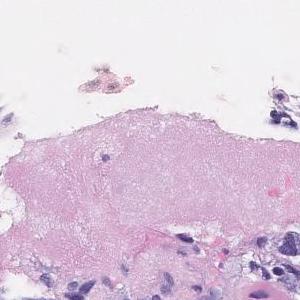
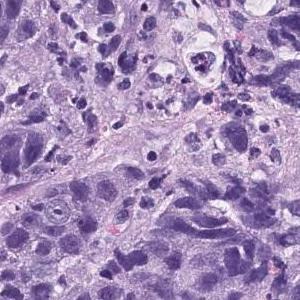
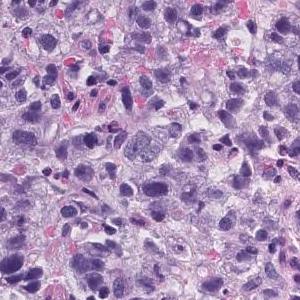
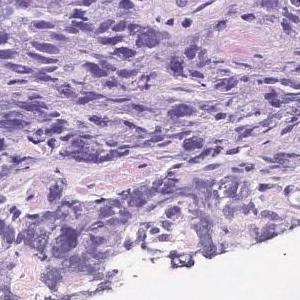
Hematoxylin and eosin stain, ×20, 4 tiles from the same stomach biopsy slide.
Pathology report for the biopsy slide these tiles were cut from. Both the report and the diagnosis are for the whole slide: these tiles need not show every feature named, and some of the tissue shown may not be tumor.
Atypical l cells with atypical nuclei forming solid vesicles or small irregular atypical ducts that proliferate in a complex manner. poorly differentiated adenocarcinoma, solid type, moderately differentiated tubular adenocarcinoma
The solid type named here is a Japanese Classification of Gastric Carcinoma category; WHO 2019 calls it tubular adenocarcinoma, poorly differentiated.
